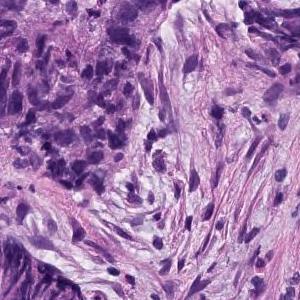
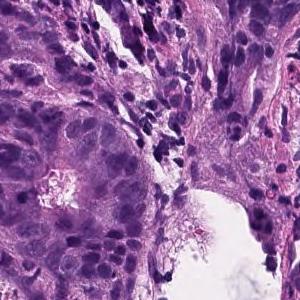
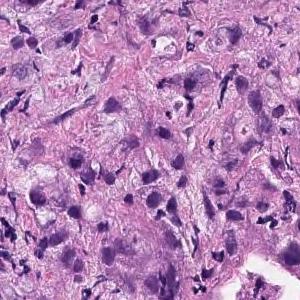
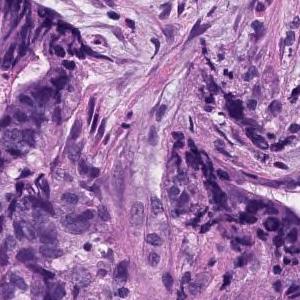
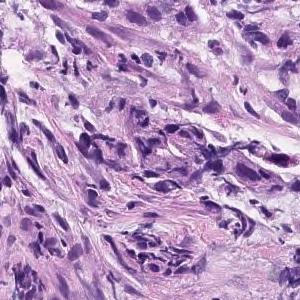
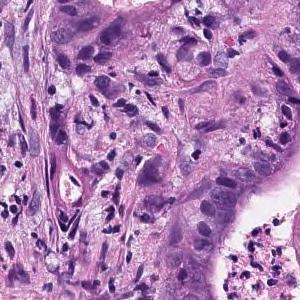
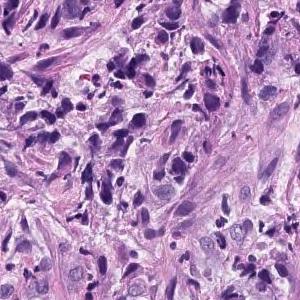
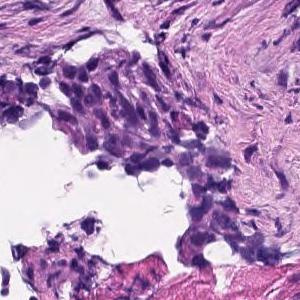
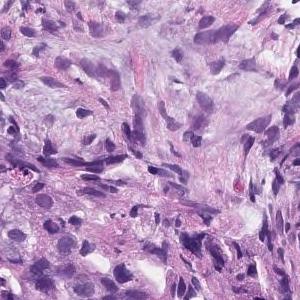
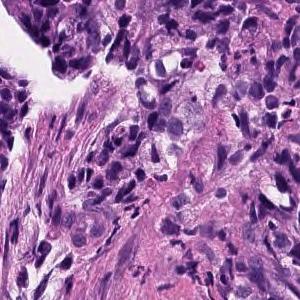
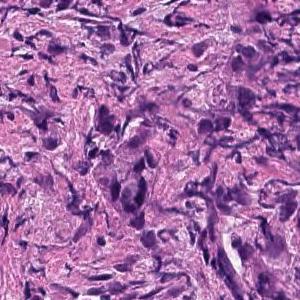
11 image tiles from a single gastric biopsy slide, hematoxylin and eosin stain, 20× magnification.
Pathology report for the slide these tiles were cut from. What the report and the diagnosis say applies to the whole slide; these tiles may miss some of the features named and may include tissue that is not tumor.
Medium to small, irregular glandular ducts are formed in the superficial epithelium, and in some cases, the glandular ducts are fused to show solid alveolar lesions and infiltrating tumor tissue is observed. Moderately to poorly differentiated adenocarcinoma.
